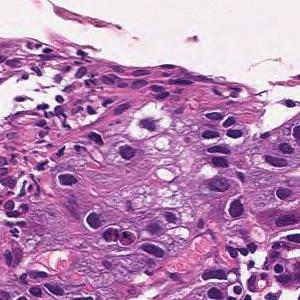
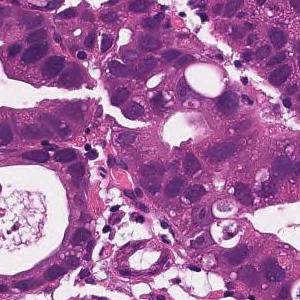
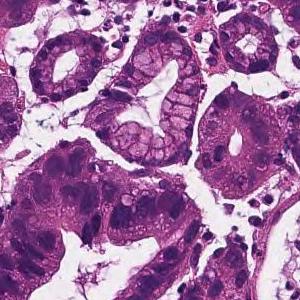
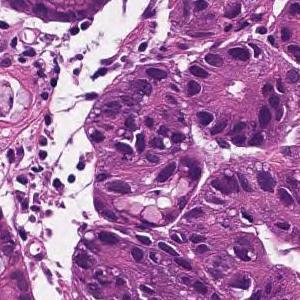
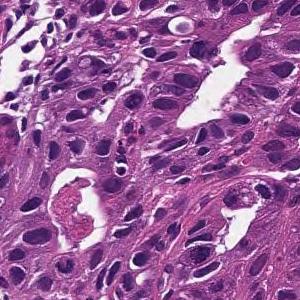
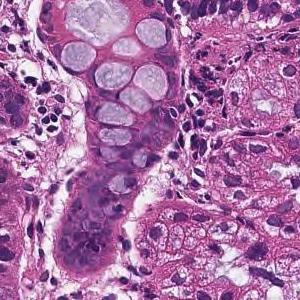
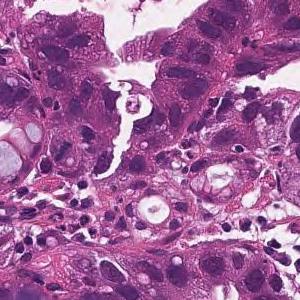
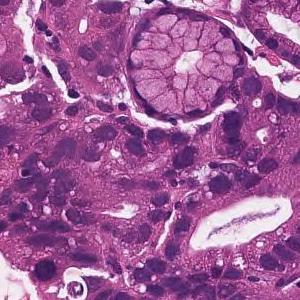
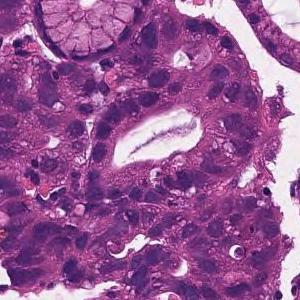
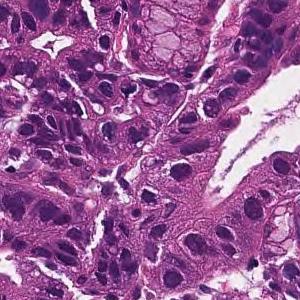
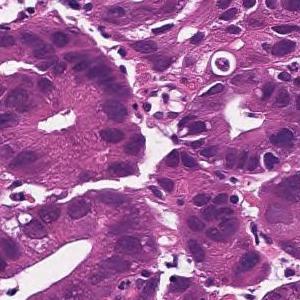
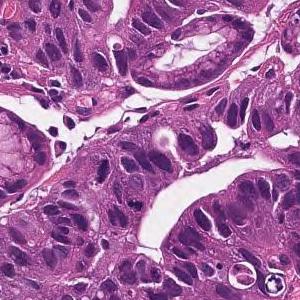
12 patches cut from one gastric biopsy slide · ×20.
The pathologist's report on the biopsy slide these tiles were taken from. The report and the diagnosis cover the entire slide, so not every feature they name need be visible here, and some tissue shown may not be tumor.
In the superficial epithelium, tumor tissue that invades by forming medium-sized to small, irregular ducts is observed. moderately differentiated tubular adenocarcinoma.
